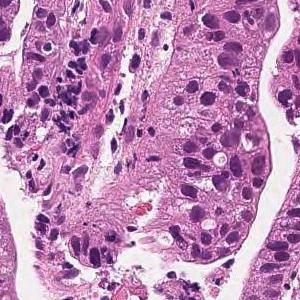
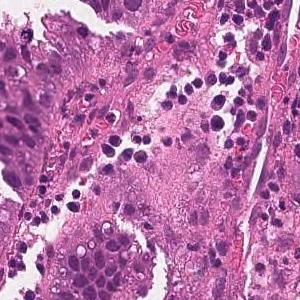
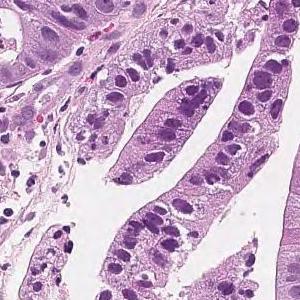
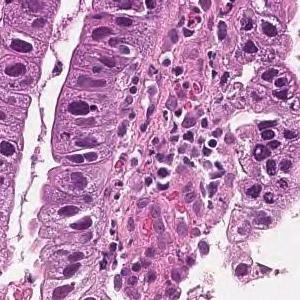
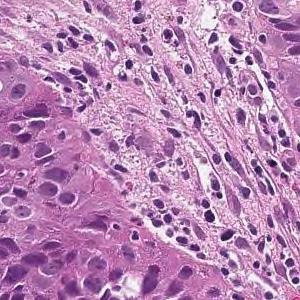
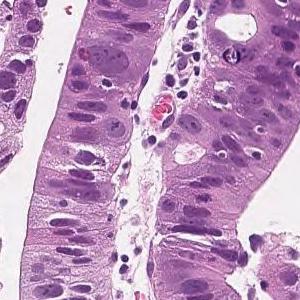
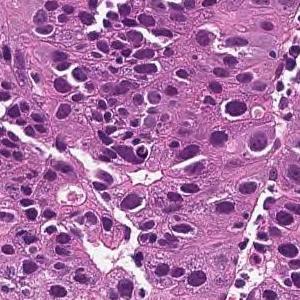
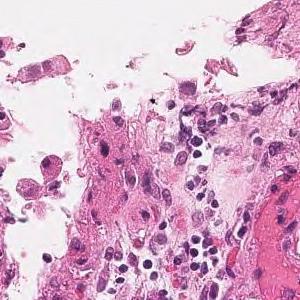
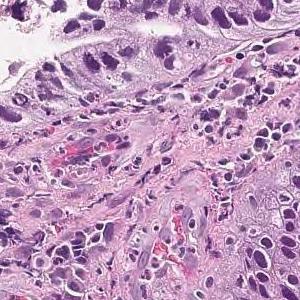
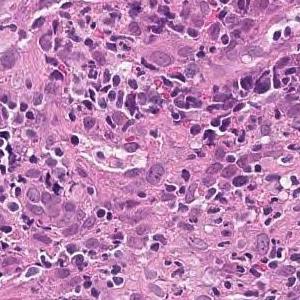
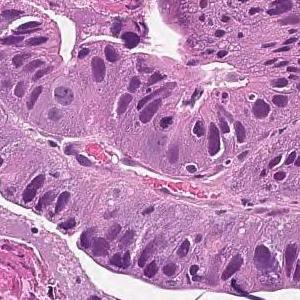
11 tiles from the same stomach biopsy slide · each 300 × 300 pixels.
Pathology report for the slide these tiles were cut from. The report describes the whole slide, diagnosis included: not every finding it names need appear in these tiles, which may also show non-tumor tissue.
In the superficial epithelium, tumor tissue that invades by forming medium-sized to small, irregular ducts is observed. moderately differentiated tubular adenocarcinoma.
